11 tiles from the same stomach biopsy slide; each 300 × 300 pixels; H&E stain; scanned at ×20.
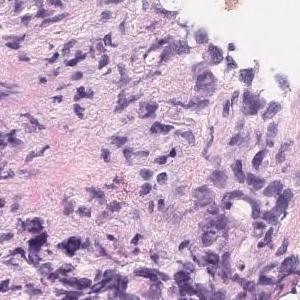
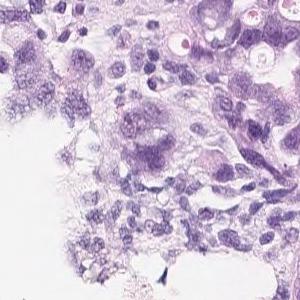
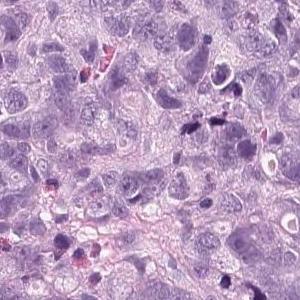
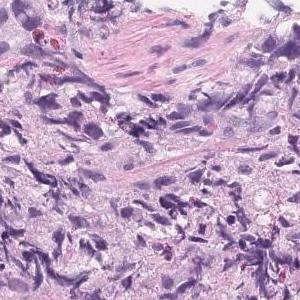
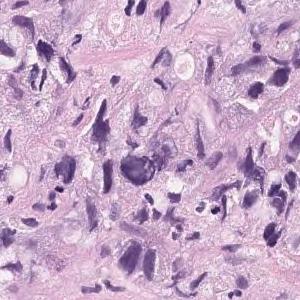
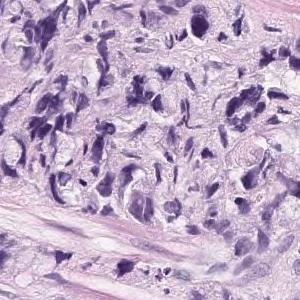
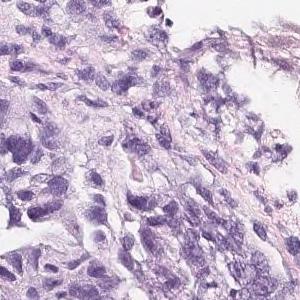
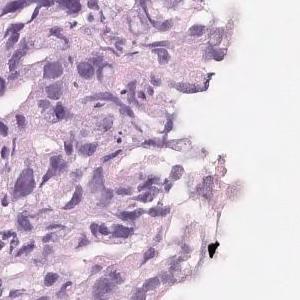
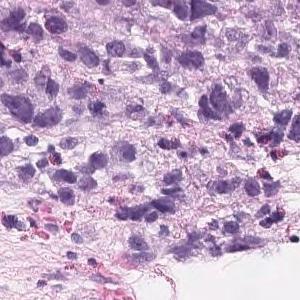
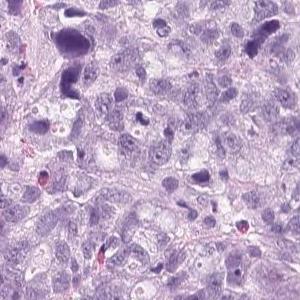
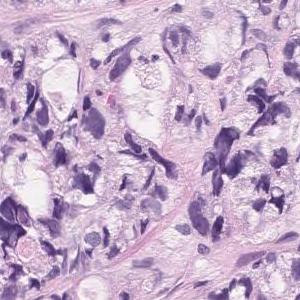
Pathology report for the biopsy slide these tiles were cut from. Both the report and the diagnosis are for the whole slide: these tiles need not show every feature named, and some of the tissue shown may not be tumor.
Tumor tissue that infiltrates and proliferates by forming small glandular cavities in the superficial layer to the submucosa or forming a mass is observed. moderately differentiated tubular adenocarcinoma
